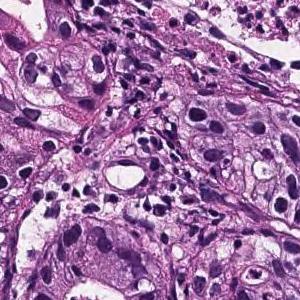
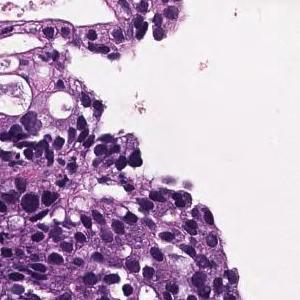
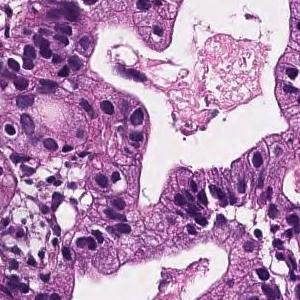
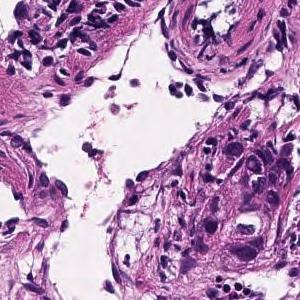
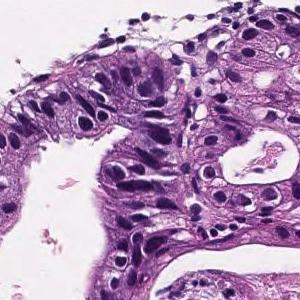
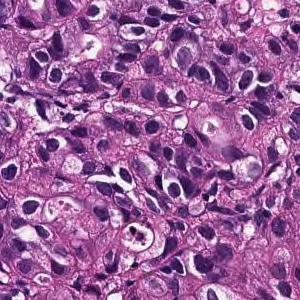
6 tiles cut from one stomach biopsy slide; H&E.
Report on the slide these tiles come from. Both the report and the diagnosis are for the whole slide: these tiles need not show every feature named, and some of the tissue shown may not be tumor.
From the superficial epithelium to the muscularis mucosae, tumor tissue infiltrating by forming medium-sized irregular gland ducts is observed. Large tumor cells exhibit large nucleus and hyperchromatism. Well differentiated tubular adenocarcinoma
